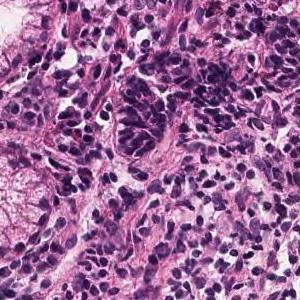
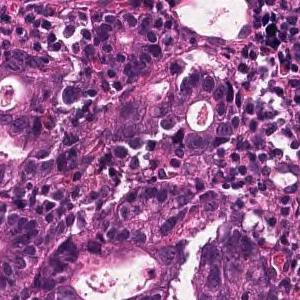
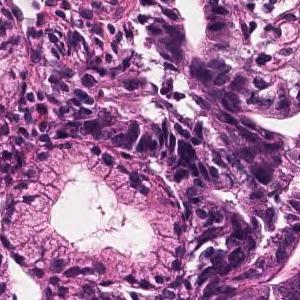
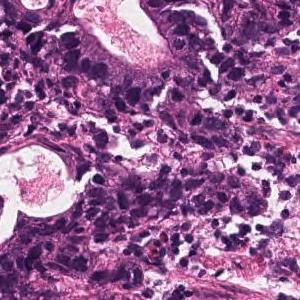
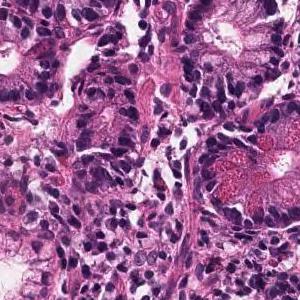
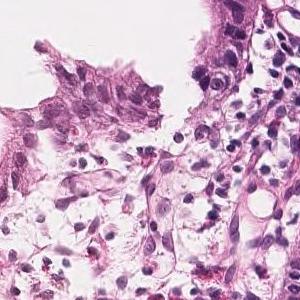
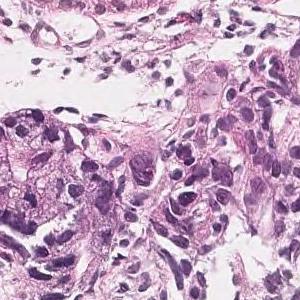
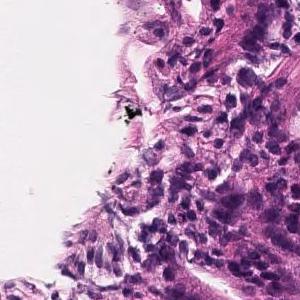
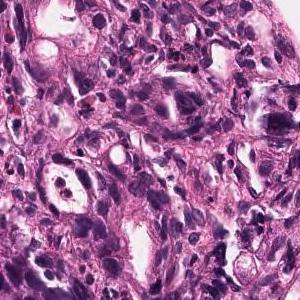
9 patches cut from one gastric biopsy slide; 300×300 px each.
Diagnostic report for the slide these tiles come from. The report describes the whole slide, diagnosis included: not every finding it names need appear in these tiles, which may also show non-tumor tissue.
On the superficial epithelium, tumor tissue consisting of large, irregular glandular ducts partially fused and infiltrated is observed. Well to moderately differentiated tubular adenocarcinoma (well differentiated tubular adenocarcinoma, moderately differentiated tubular adenocarcinoma)
Subtype: Well to moderately differentiated tubular adenocarcinoma.
